15 tiles from the same stomach biopsy slide, each 300 × 300 pixels, 20× magnification, hematoxylin and eosin stain.
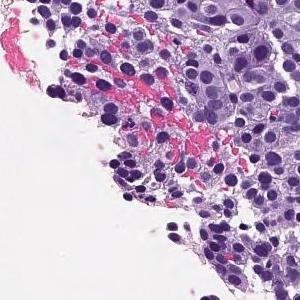
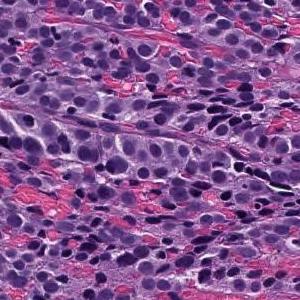
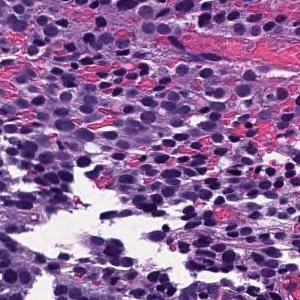
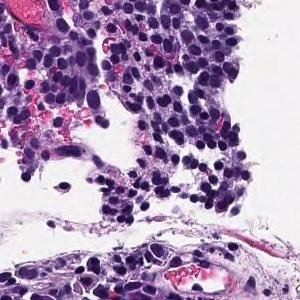
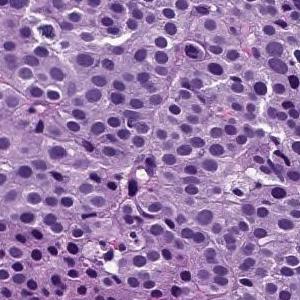
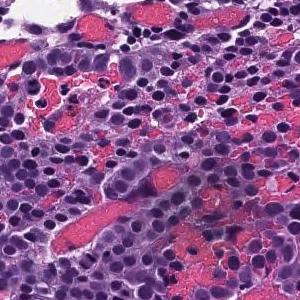
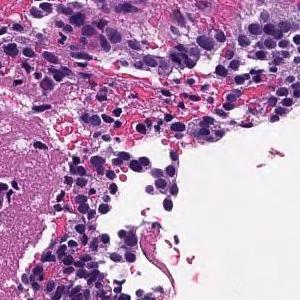
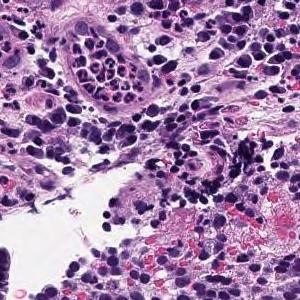
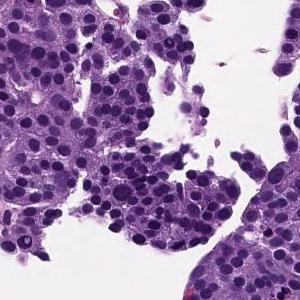
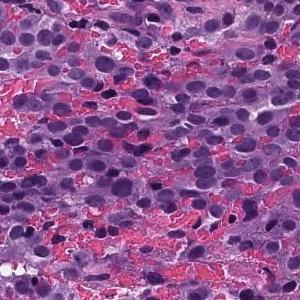
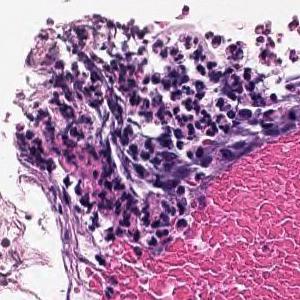
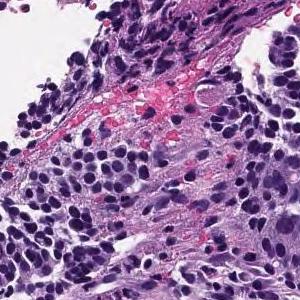
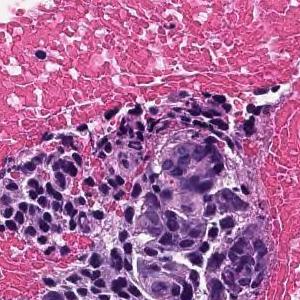
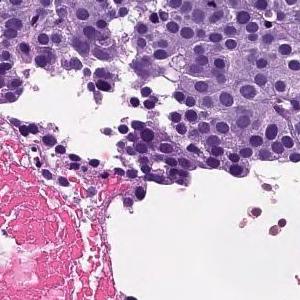
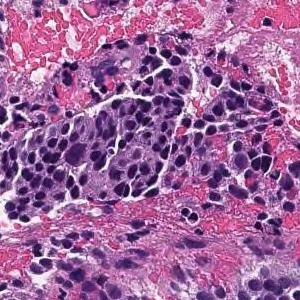
The pathologist's report on the biopsy slide these tiles were taken from. The report and the diagnosis cover the entire slide, so not every feature they name need be visible here, and some tissue shown may not be tumor.
The superficial epithelium shows a large sheet-like shape, and some tumor tissue infiltrates with small irregular ducts. Poorly differentiated adenocarcinoma, solid-type
Subtype: Poorly differentiated adenocarcinoma, solid type, a category of the Japanese Classification of Gastric Carcinoma; in the WHO 2019 classification it is tubular adenocarcinoma, poorly differentiated.
